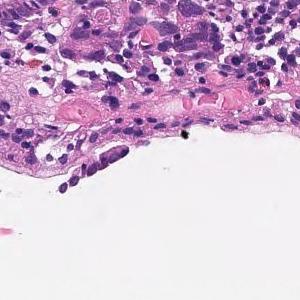
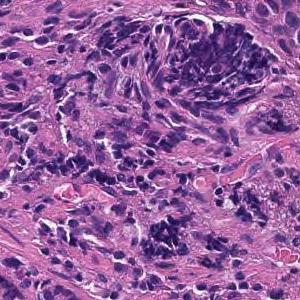
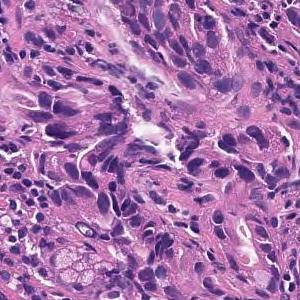
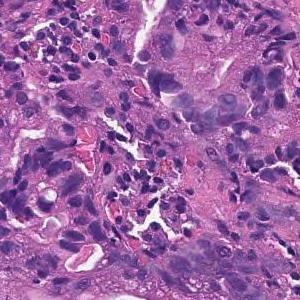
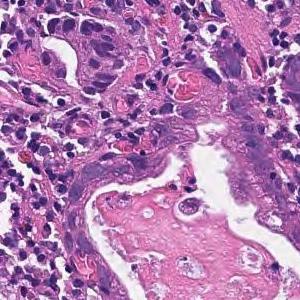
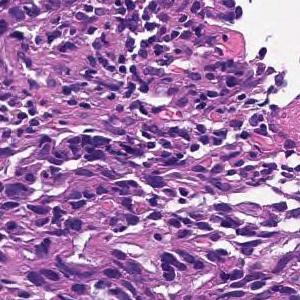
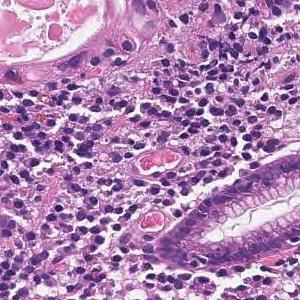
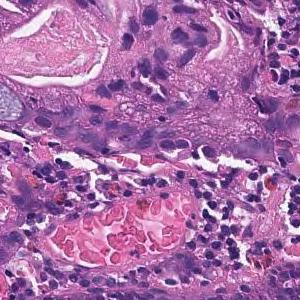
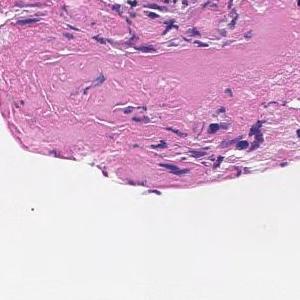
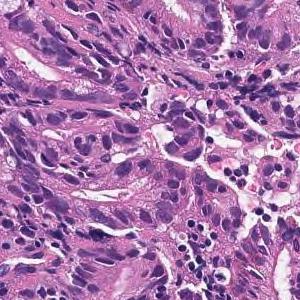
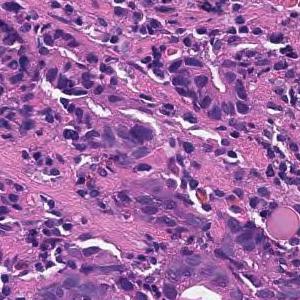
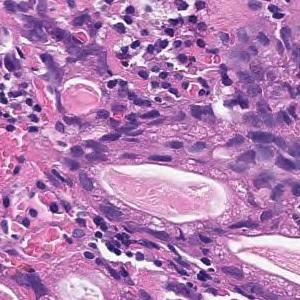
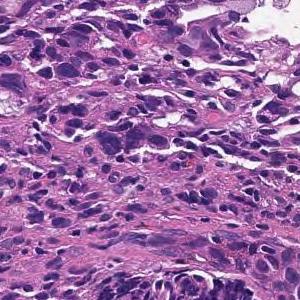
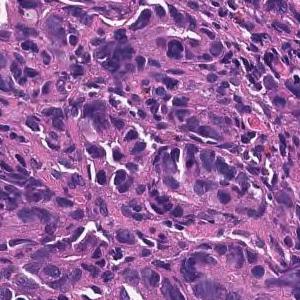
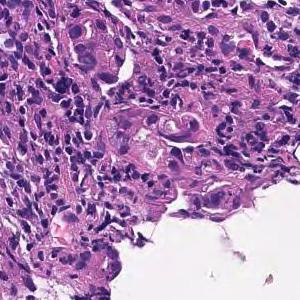
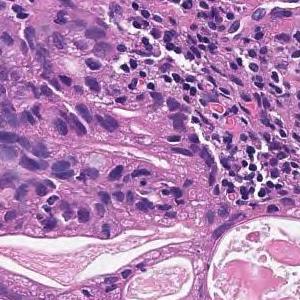
16 tiles cut from one stomach biopsy slide, scanned at ×20, hematoxylin and eosin stain.
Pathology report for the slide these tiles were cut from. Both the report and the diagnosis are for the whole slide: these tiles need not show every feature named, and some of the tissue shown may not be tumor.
In the superficial epithelium, tumor tissue that invades by forming medium-sized to small, irregular ducts is observed. moderately differentiated tubular adenocarcinoma.
